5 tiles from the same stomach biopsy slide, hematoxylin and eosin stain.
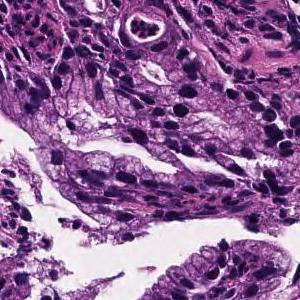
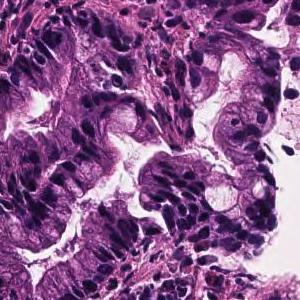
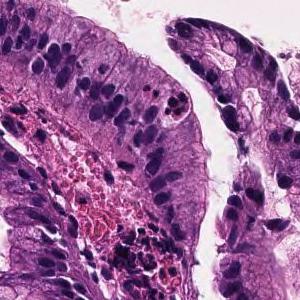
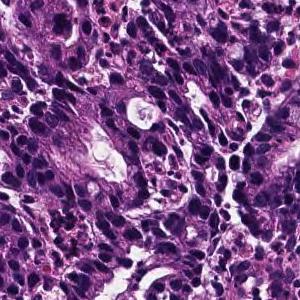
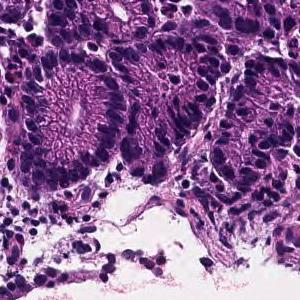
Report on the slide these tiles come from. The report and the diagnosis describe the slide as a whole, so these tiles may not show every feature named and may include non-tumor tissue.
From the superficial epithelium to the muscularis mucosae, tumor tissue consisting of medium-sized and irregular glandular ducts infiltrating is observed. Well differentiated tubular adenocarcinoma
